20× magnification; H&E stain; 7 image tiles from a single gastric biopsy slide.
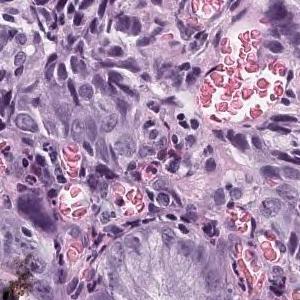
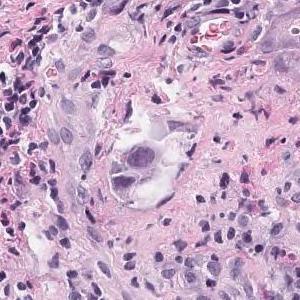
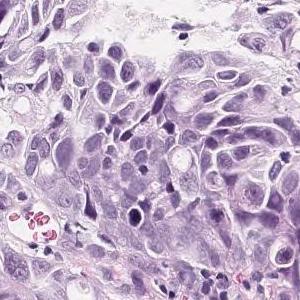
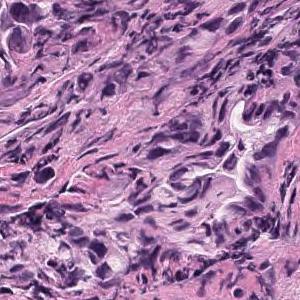
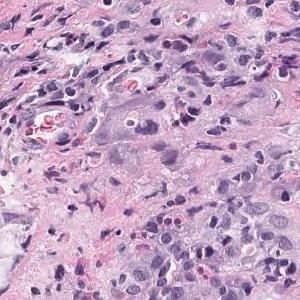
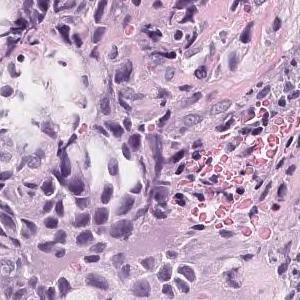
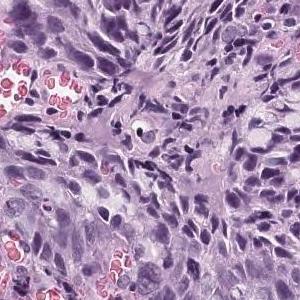
The pathologist's report on the biopsy slide these tiles were taken from. The report describes the whole slide, diagnosis included: not every finding it names need appear in these tiles, which may also show non-tumor tissue.
Large atypical epithelial cells showing polymorphism form solid alveolar lesions, and tumor tissue infiltrating with microglandular cavities is observed. Poorly differentiated adenocarcinoma, solid-type
Histologic type: Poorly differentiated adenocarcinoma, solid type. This name comes from the Japanese Classification of Gastric Carcinoma; the WHO 2019 classification calls it tubular adenocarcinoma, poorly differentiated.
